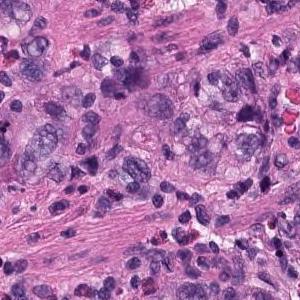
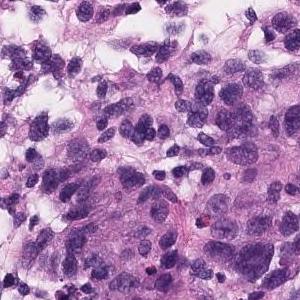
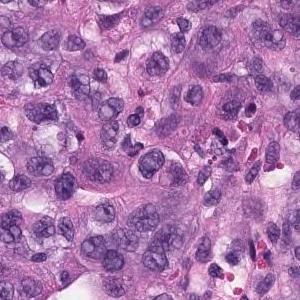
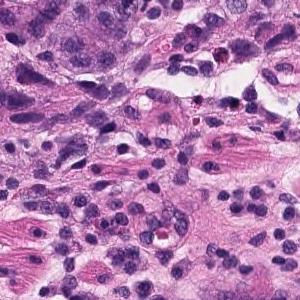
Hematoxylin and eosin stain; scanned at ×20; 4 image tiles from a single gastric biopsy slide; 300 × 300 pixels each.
The pathologist's report on the biopsy slide these tiles were taken from. Both the report and the diagnosis are for the whole slide: these tiles need not show every feature named, and some of the tissue shown may not be tumor.
Atypical l cells with atypical nuclei forming diffuse or small irregular atypical ducts and growing. Moderately to poorly differentiated adenocarcinoma (poorly differentiated adenocarcinoma, solid type, moderately differentiated tubular adenocarcinoma)
Histologic type: Moderately to poorly differentiated adenocarcinoma.
"Solid type" is a category of the Japanese Classification of Gastric Carcinoma; in the WHO 2019 classification it is tubular adenocarcinoma, poorly differentiated.
